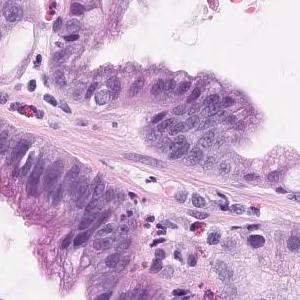
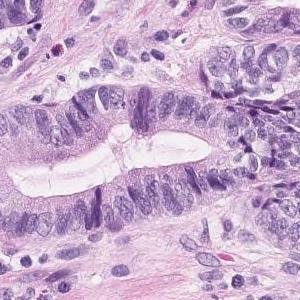
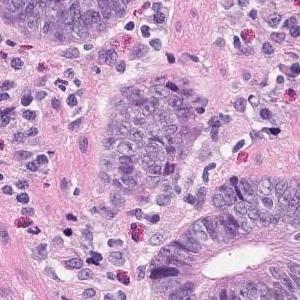
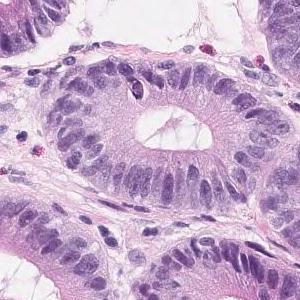
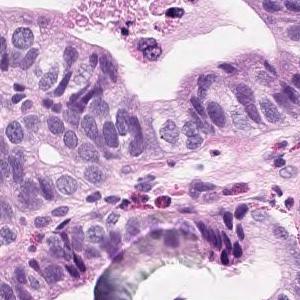
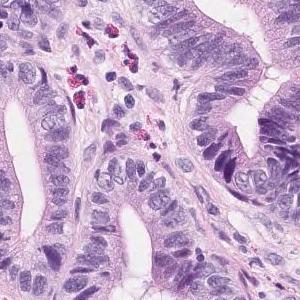
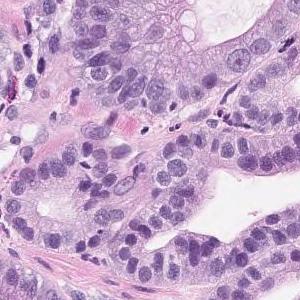
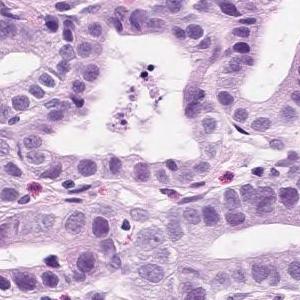
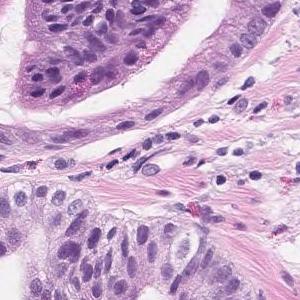
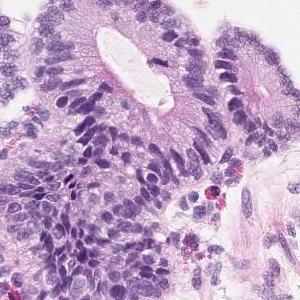
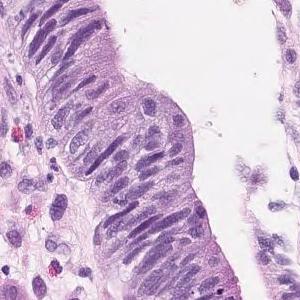
Scanned at ×20; hematoxylin and eosin stain; 11 image tiles from a single gastric biopsy slide; each 300 × 300 pixels.
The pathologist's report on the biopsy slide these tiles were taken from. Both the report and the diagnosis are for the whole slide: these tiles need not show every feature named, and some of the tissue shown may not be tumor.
Short atypical epithelium with swelling of the nucleus shows proliferating, large and small irregular ductal structures. Well to moderately differentiated tubular adenocarcinoma (well differentiated tubular adenocarcinoma-moderately differentiated tubular adenocarcinoma)
Histologic type: Well to moderately differentiated tubular adenocarcinoma.
